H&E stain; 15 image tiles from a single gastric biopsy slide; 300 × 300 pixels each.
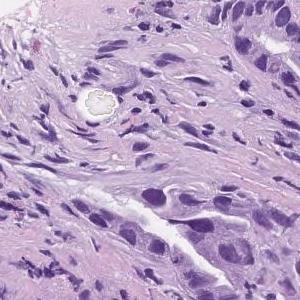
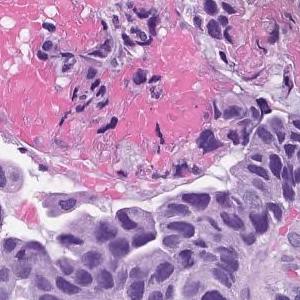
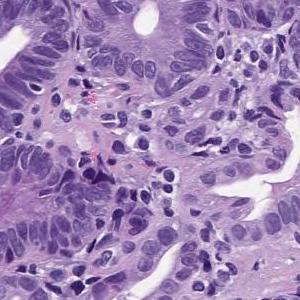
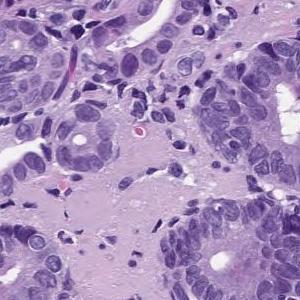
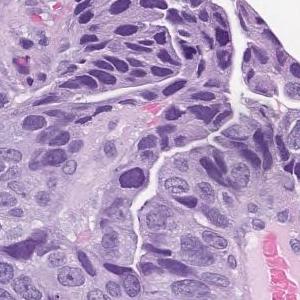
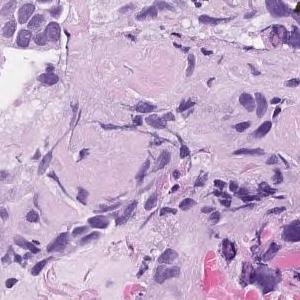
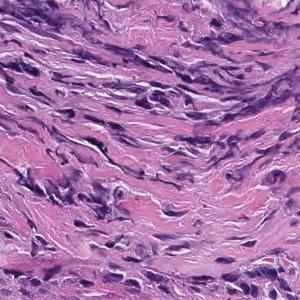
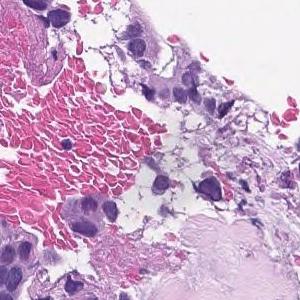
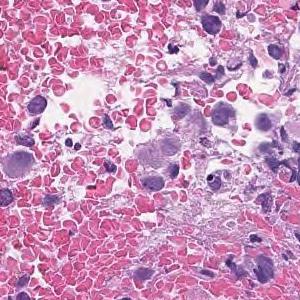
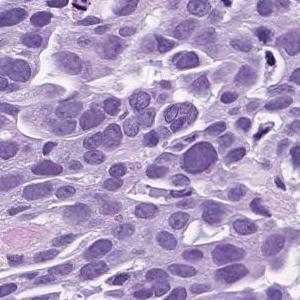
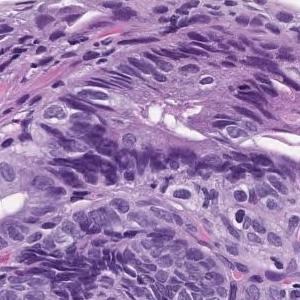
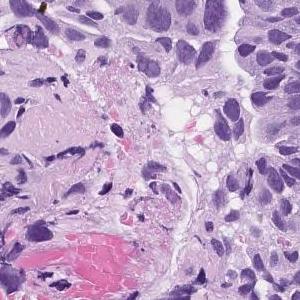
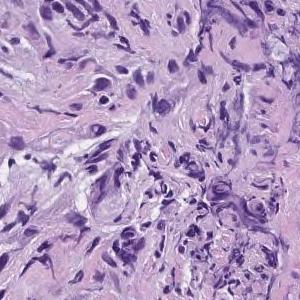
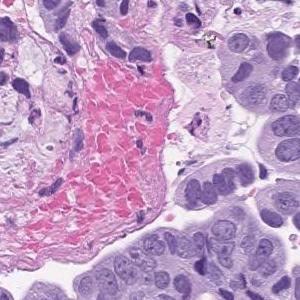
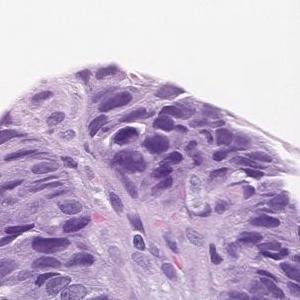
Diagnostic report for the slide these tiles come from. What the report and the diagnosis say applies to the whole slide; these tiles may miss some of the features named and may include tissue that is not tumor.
In the superficial epithelium, tumor tissue that invades by forming medium-sized to small, irregular ducts is observed. moderately differentiated tubular adenocarcinoma.
